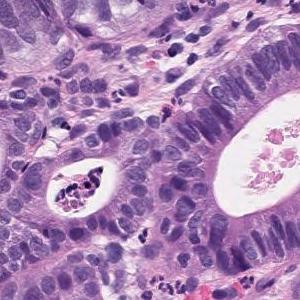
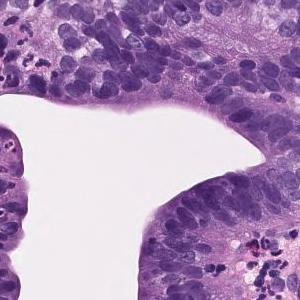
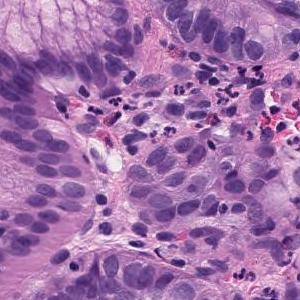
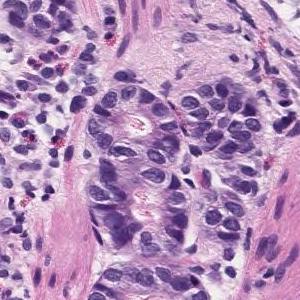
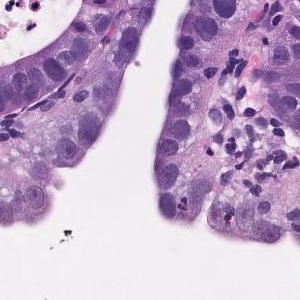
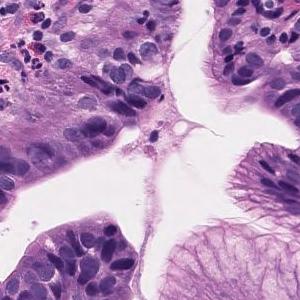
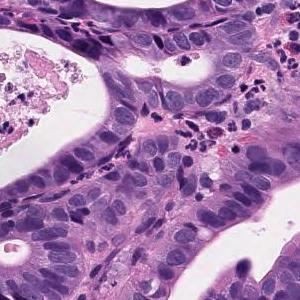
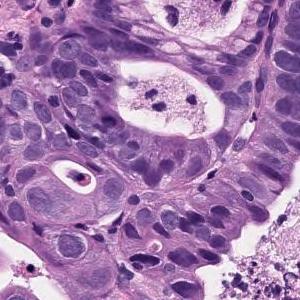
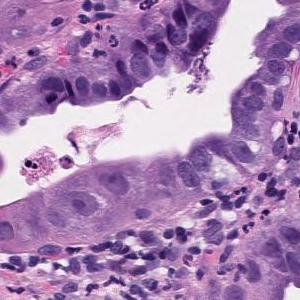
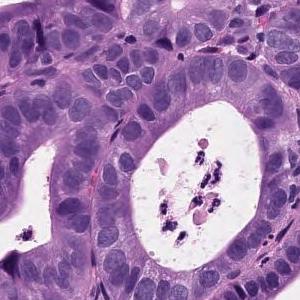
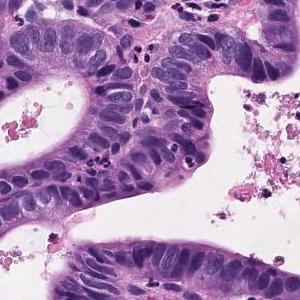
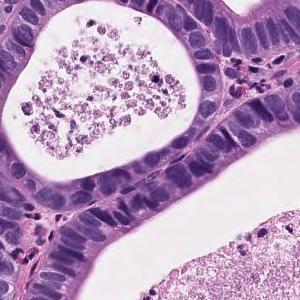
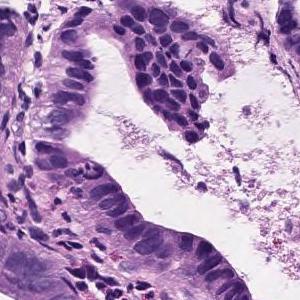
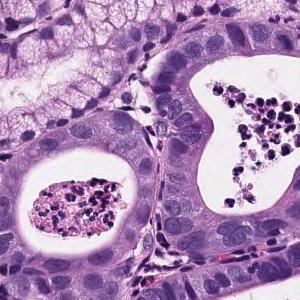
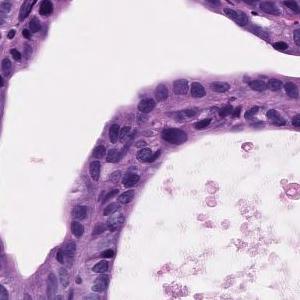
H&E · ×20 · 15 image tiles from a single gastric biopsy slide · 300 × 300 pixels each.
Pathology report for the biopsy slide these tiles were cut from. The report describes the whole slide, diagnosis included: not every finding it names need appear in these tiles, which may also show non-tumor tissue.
Tumor tissue consisting of proliferative medium to large, round or irregular glandular ducts in the superficial epithelium. Well differentiated adenocarcinoma.
Classified as well differentiated tubular adenocarcinoma.
